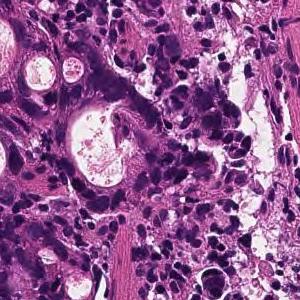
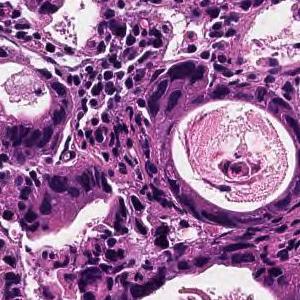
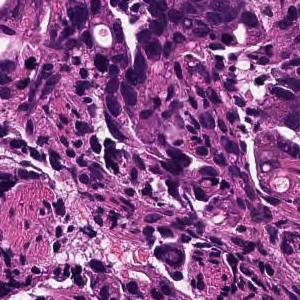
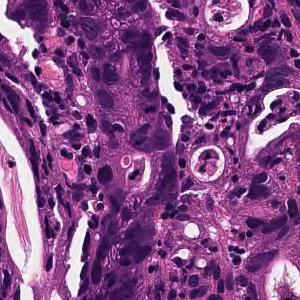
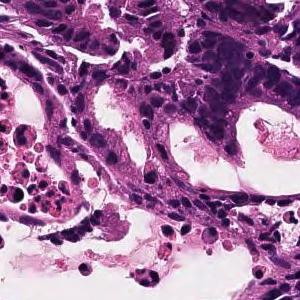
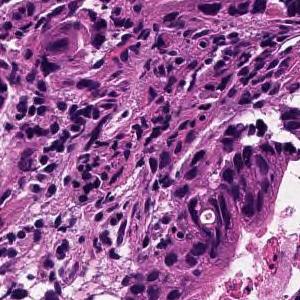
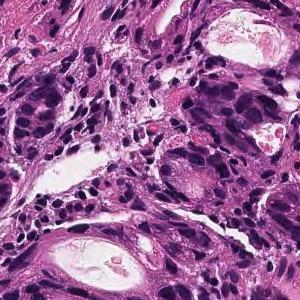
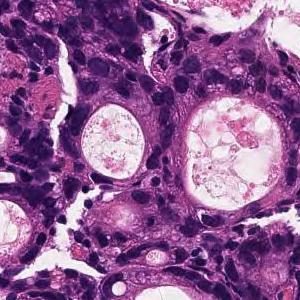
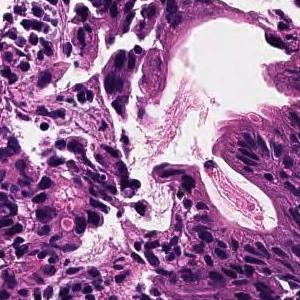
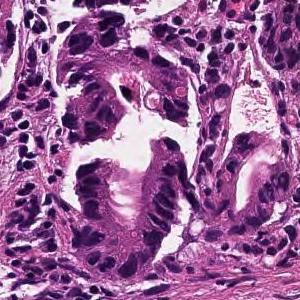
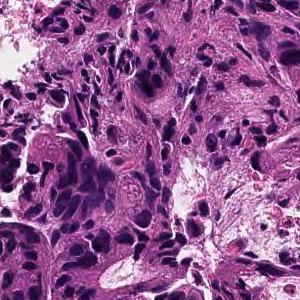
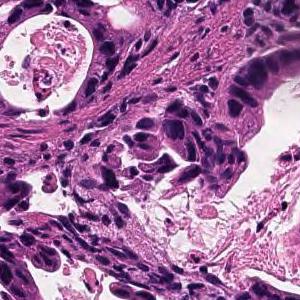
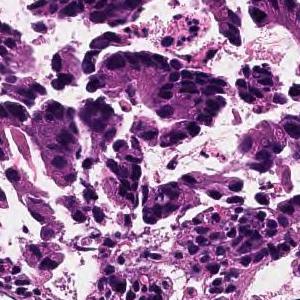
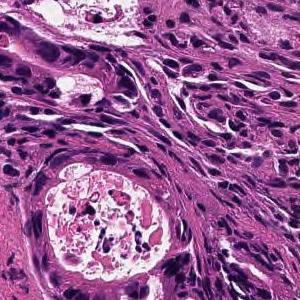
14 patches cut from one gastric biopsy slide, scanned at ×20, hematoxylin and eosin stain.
Pathology report for the biopsy slide these tiles were cut from. The report describes the whole slide, diagnosis included: not every finding it names need appear in these tiles, which may also show non-tumor tissue.
In the superficial epithelium, tumor tissue that invades by forming medium-sized to small, irregular ducts is observed. moderately differentiated tubular adenocarcinoma.
